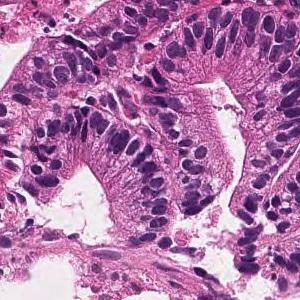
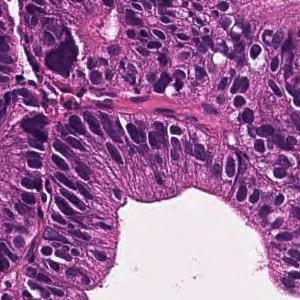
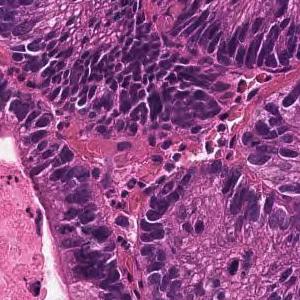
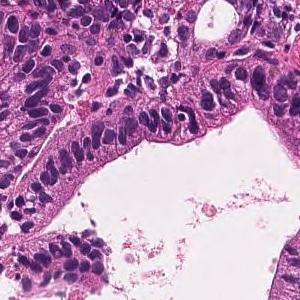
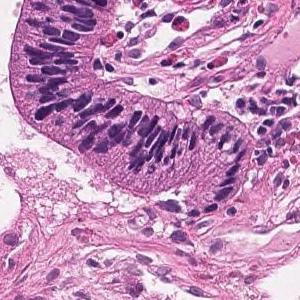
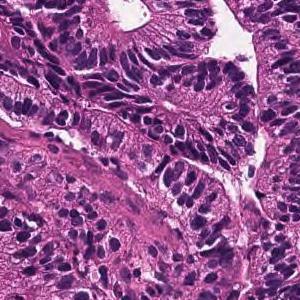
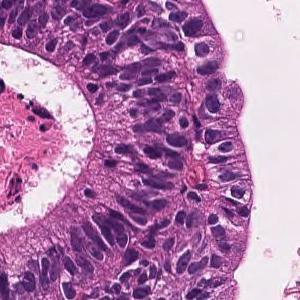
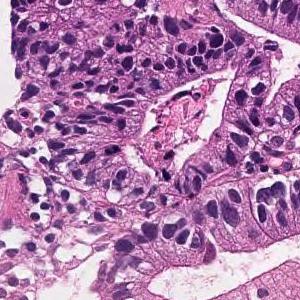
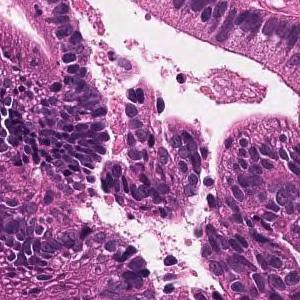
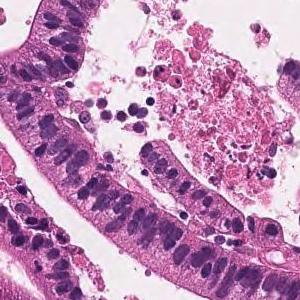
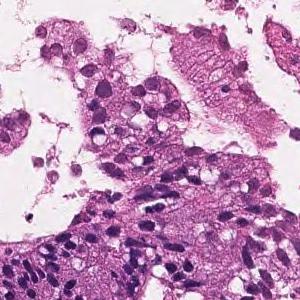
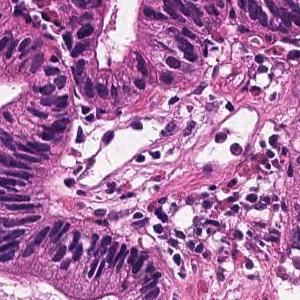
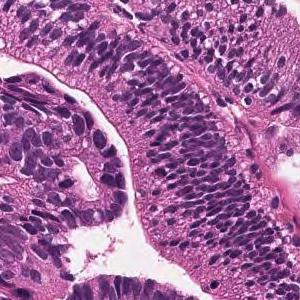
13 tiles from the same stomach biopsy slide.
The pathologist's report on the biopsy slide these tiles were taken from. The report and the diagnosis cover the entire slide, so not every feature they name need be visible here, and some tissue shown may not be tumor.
From the superficial epithelium to the muscularis mucosae, tumor tissue infiltrating by forming medium-sized irregular gland ducts is observed. Large tumor cells exhibit large nucleus and hyperchromatism. Well differentiated tubular adenocarcinoma
